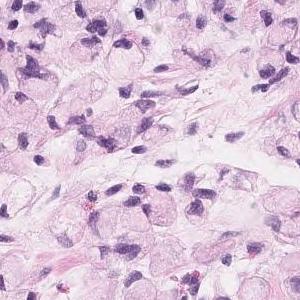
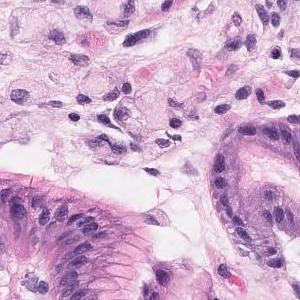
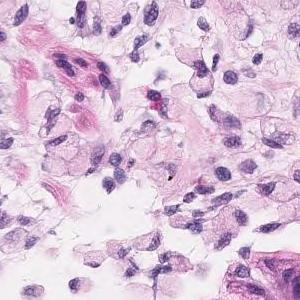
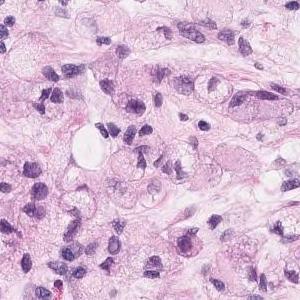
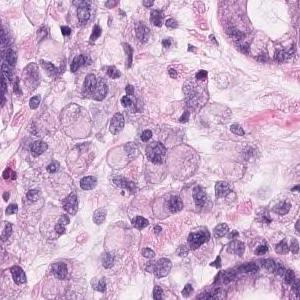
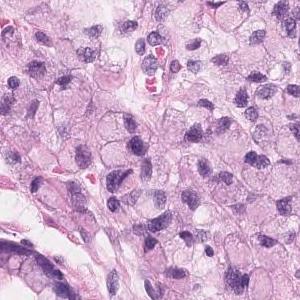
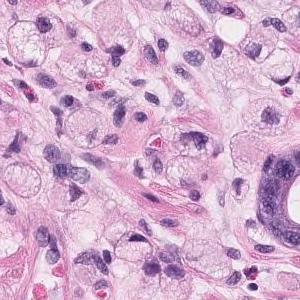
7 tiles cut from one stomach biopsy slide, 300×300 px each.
Pathology report for the slide these tiles were cut from. What the report and the diagnosis say applies to the whole slide; these tiles may miss some of the features named and may include tissue that is not tumor.
In the lamina propria, atypical epithelial cells that store mucus and lack connectivity proliferate diffusely. Adenocarcinoma. Signet ring cell carcinoma.
